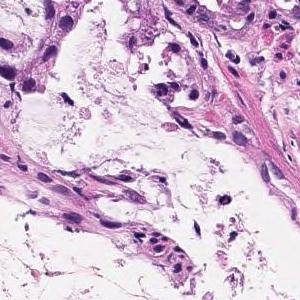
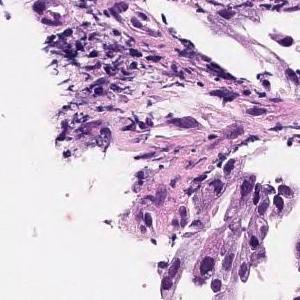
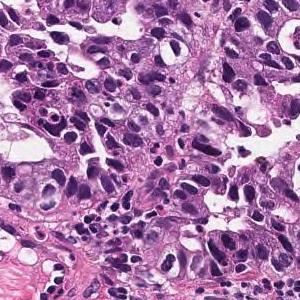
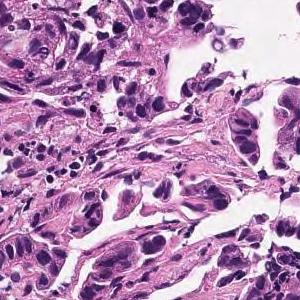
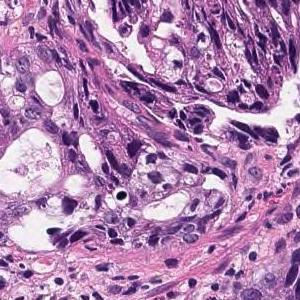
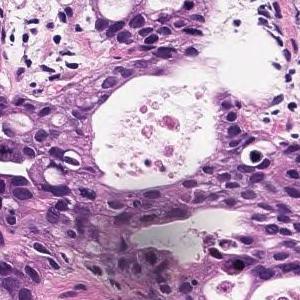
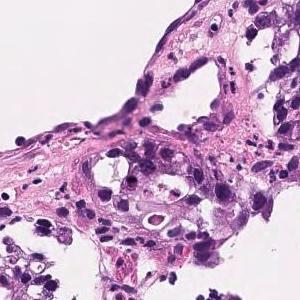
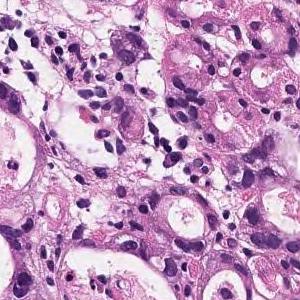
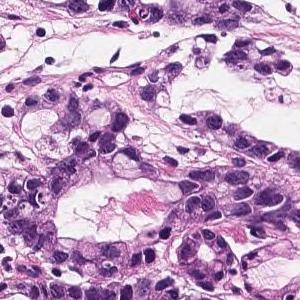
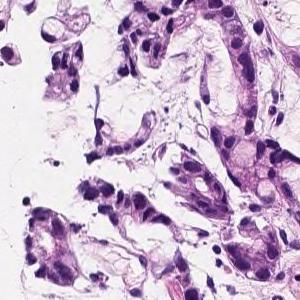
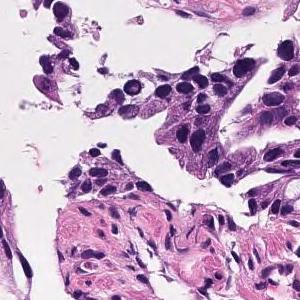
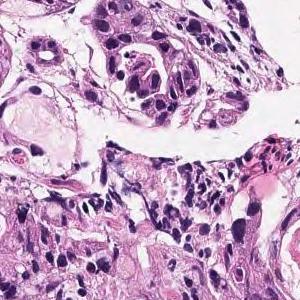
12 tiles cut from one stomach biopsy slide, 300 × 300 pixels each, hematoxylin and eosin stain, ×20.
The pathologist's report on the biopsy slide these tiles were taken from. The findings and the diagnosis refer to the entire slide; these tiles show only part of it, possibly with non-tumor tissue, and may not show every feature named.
In the superficial epithelium, tumor tissue that invades by forming medium-sized to small, irregular ducts is observed. Moderately differentiated adenocarcinoma.
Classified as moderately differentiated tubular adenocarcinoma.
